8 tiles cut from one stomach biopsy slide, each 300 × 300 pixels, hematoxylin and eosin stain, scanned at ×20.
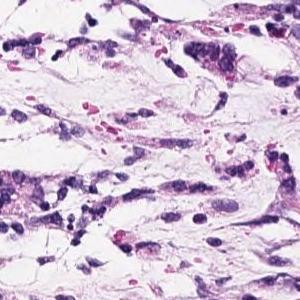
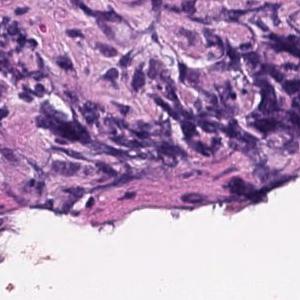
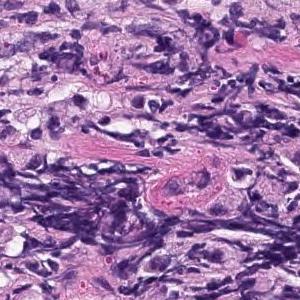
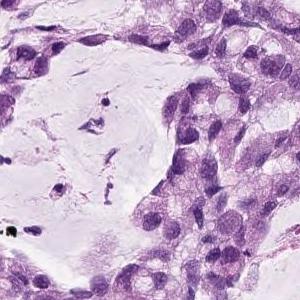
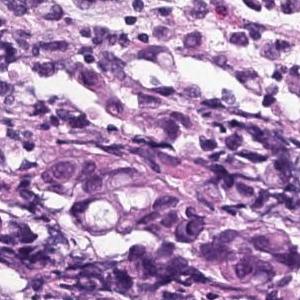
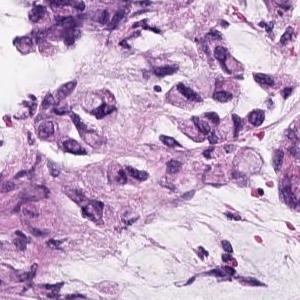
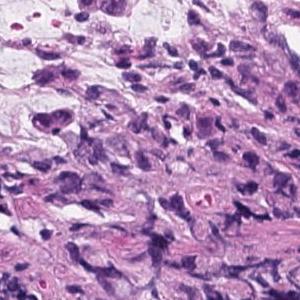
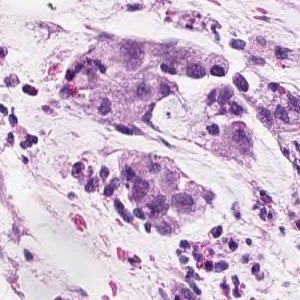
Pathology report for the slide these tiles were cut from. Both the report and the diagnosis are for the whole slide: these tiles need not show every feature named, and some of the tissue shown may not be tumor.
Poorly connected atypical epithelium with mucous vacuoles in the cytoplasm proliferating while floating with mucus accumulation outside the cell is observed. Mucinous adenocarcinoma
